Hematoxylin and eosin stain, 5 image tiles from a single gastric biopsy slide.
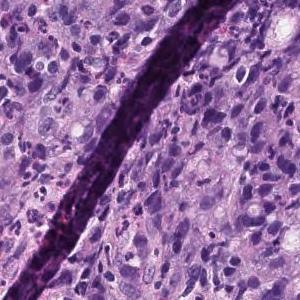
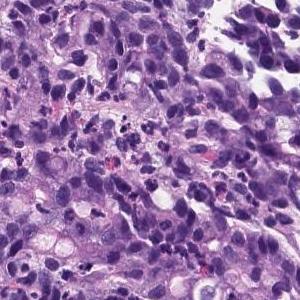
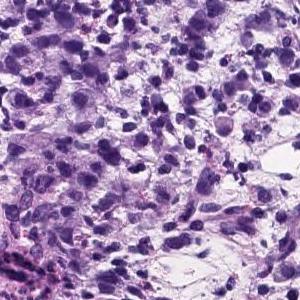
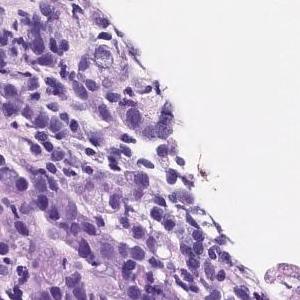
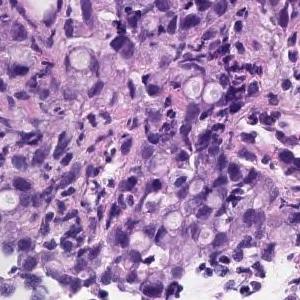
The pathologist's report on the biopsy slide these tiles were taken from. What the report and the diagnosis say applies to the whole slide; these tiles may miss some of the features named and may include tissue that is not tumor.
Diffusely growing signet-ring cells are found in the lamina propria. Signet ring cell carcinoma.
